4 patches cut from one gastric biopsy slide · 300 × 300 pixels each · H&E stain.
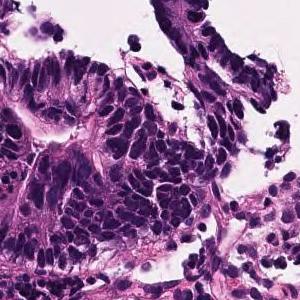
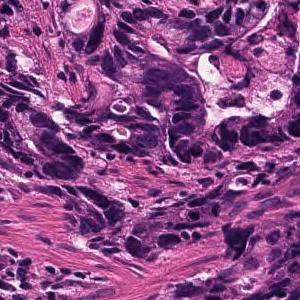
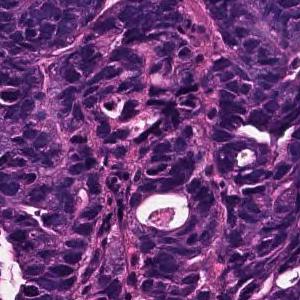
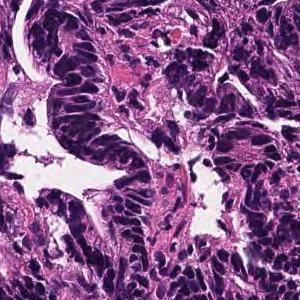
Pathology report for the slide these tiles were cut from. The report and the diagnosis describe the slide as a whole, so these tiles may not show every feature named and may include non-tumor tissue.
Large and small irregular small glandular ducts forming and infiltrating. moderately differentiated tubular adenocarcinoma
